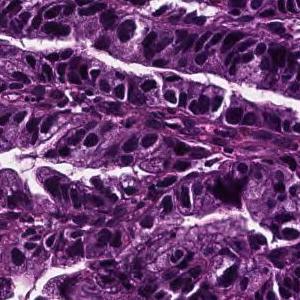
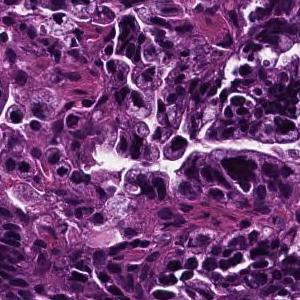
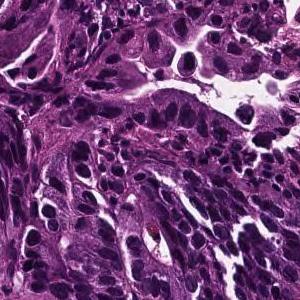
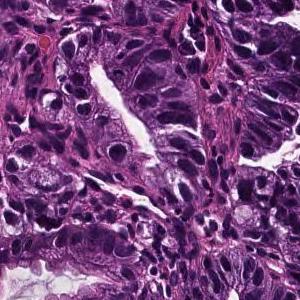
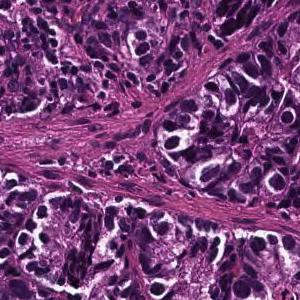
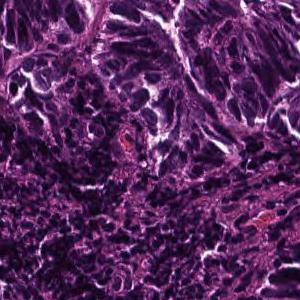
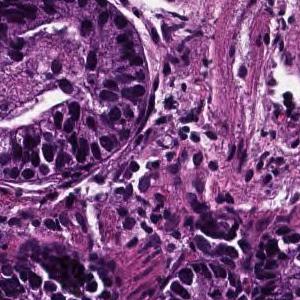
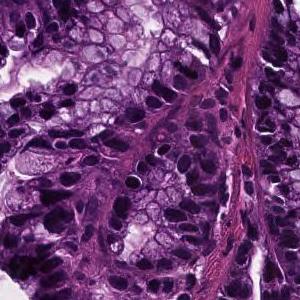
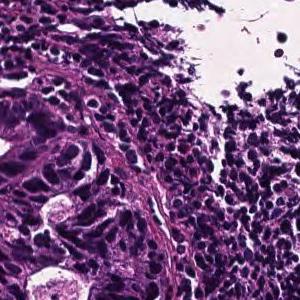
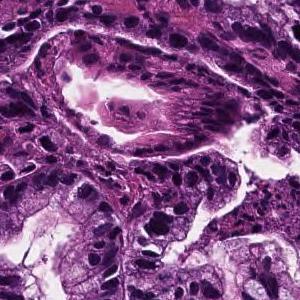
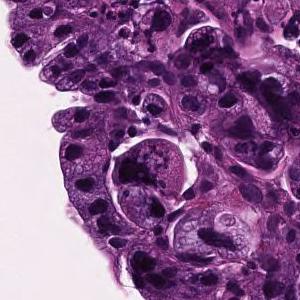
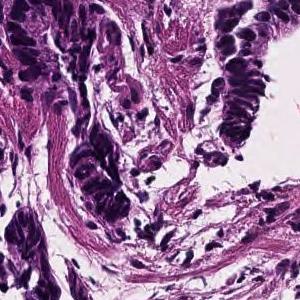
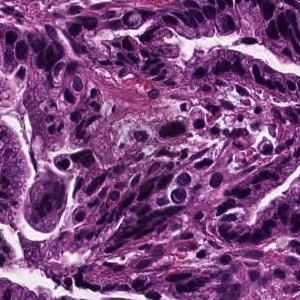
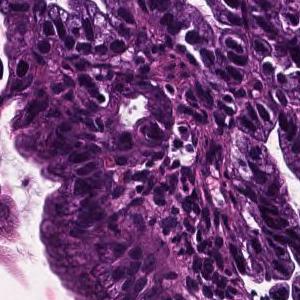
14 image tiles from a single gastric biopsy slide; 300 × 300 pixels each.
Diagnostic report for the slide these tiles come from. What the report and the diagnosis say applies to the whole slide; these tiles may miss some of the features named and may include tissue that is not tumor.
In the superficial epithelium, tumor tissue that invades by forming medium-sized to small, irregular ducts is observed. Well differentiated tubular adenocarcinoma.
